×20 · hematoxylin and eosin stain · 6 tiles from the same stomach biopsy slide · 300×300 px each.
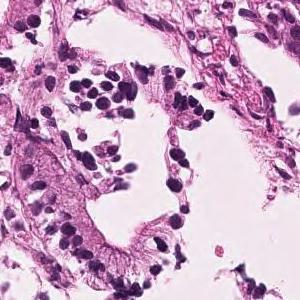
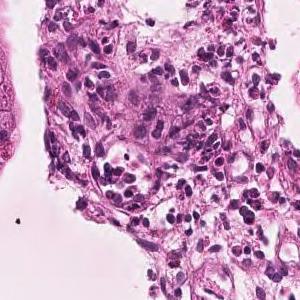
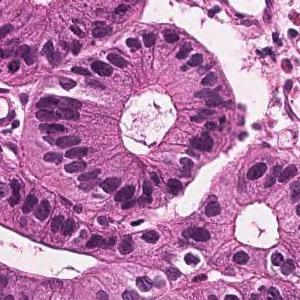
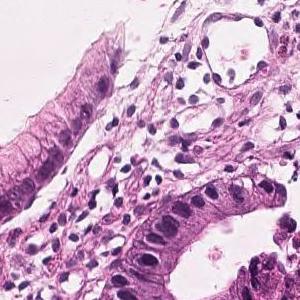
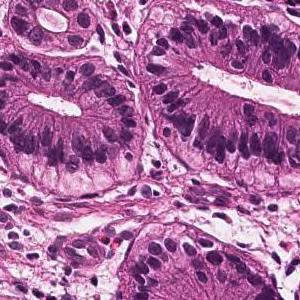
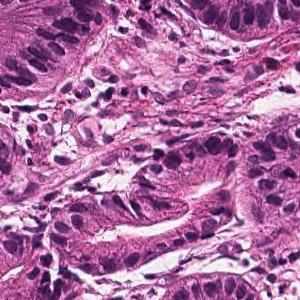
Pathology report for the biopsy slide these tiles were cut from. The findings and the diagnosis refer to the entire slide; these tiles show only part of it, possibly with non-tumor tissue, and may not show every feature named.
Tumor tissue consisting of medium-sized and irregular ducts is observed infiltrating in the superficial epithelium. Tumor cells are highly columnar, with nuclei aligned basolaterally and polarized. Well differentiated tubular adenocarcinoma.
